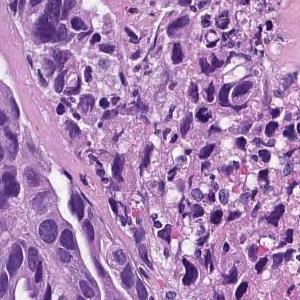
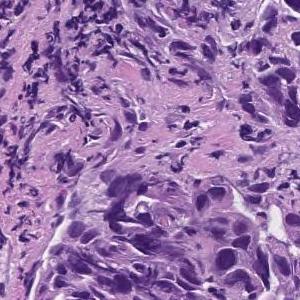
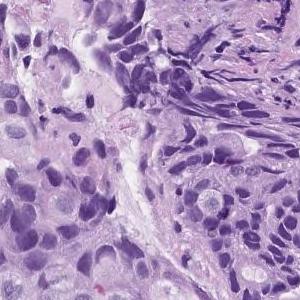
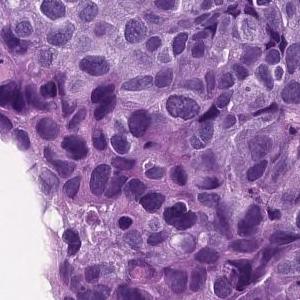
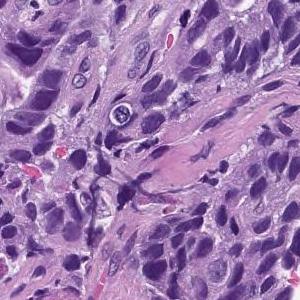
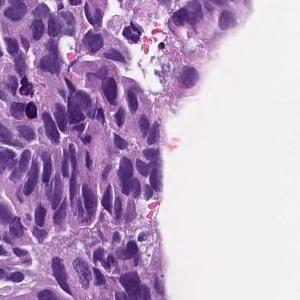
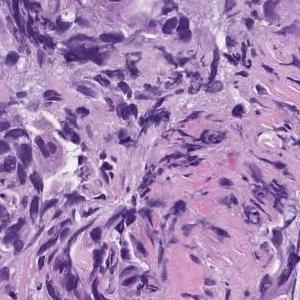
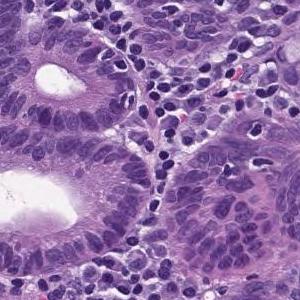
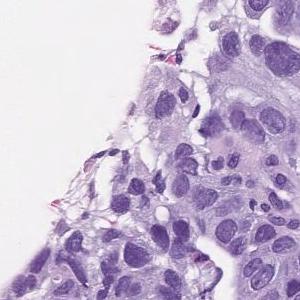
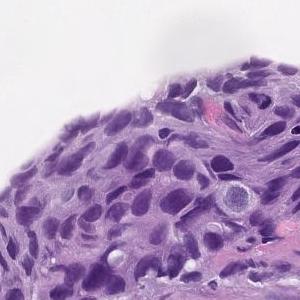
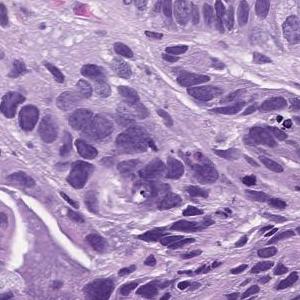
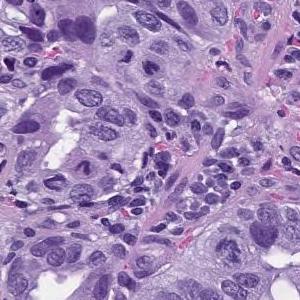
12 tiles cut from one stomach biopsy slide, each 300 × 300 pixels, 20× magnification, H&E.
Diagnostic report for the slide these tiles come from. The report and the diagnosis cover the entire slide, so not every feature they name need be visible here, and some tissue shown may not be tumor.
In the superficial epithelium, tumor tissue that invades by forming medium-sized to small, irregular ducts is observed. moderately differentiated tubular adenocarcinoma.
